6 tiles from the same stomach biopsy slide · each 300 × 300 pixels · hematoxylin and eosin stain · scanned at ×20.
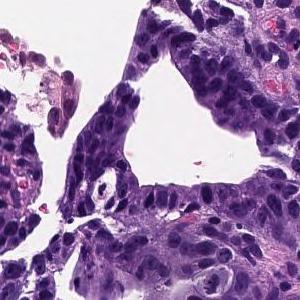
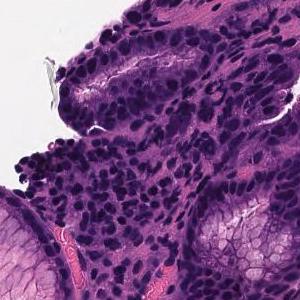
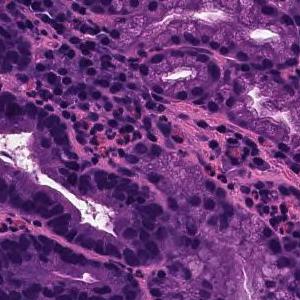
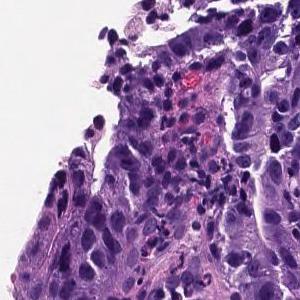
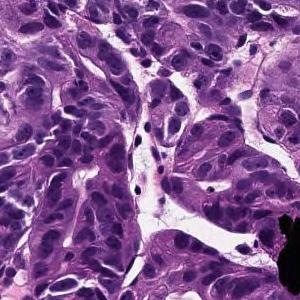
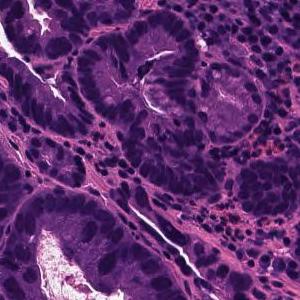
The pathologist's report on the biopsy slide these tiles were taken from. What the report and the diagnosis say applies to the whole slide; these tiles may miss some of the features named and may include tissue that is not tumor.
On the superficial epithelium, tumor tissue consisting of large irregular glandular ducts partially fused and infiltrated is observed. Well to moderately differentiated tubular adenocarcinoma (well differentiated tubular adenocarcinoma, moderately differentiated tubular adenocarcinoma)
Subtype: Well to moderately differentiated tubular adenocarcinoma.
